10 image tiles from a single gastric biopsy slide, 300 × 300 pixels each.
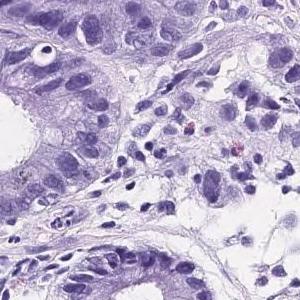
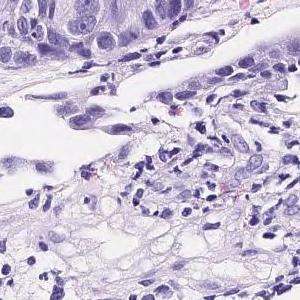
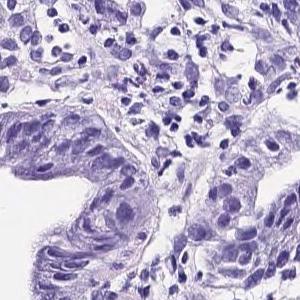
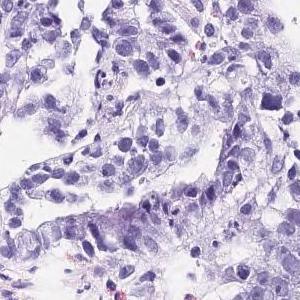
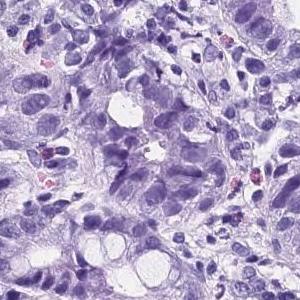
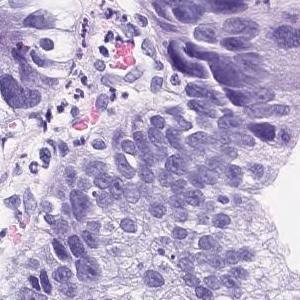
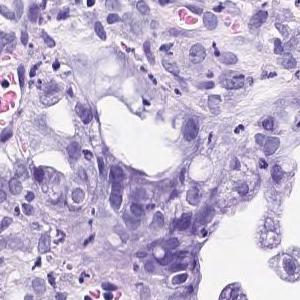
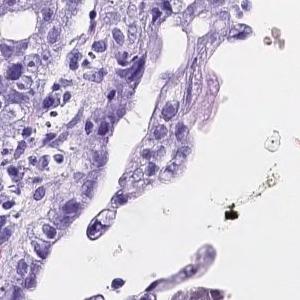
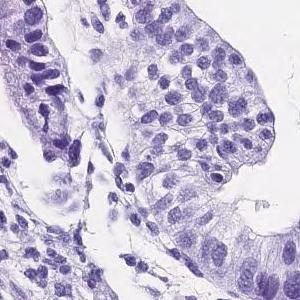
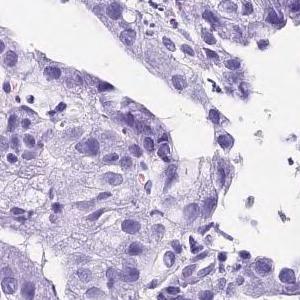
Diagnostic report for the slide these tiles come from. The report describes the whole slide, diagnosis included: not every finding it names need appear in these tiles, which may also show non-tumor tissue.
Tumor tissue consisting of medium-sized and irregular ducts is observed infiltrating in the superficial epithelium. Tumor cells are highly columnar, with nuclei aligned basolaterally and polarized. Well differentiated tubular adenocarcinoma.
